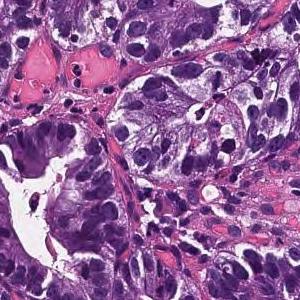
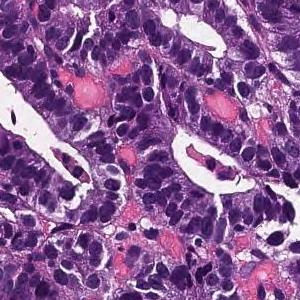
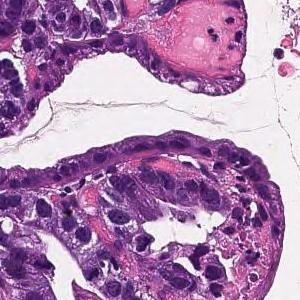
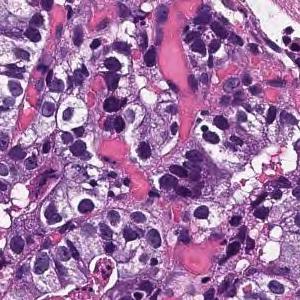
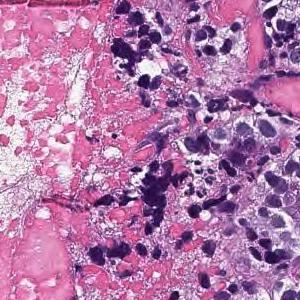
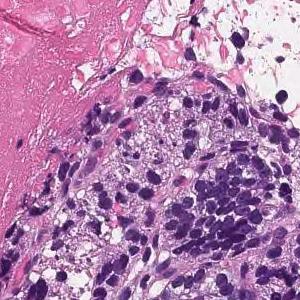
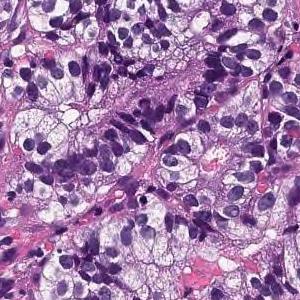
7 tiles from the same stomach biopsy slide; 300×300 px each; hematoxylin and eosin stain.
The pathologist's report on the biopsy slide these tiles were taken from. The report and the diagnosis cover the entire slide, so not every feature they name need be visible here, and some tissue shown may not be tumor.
From the superficial epithelium to the muscularis mucosae, tumor tissue consisting of medium-sized and irregular glandular ducts infiltrating is observed. Well differentiated tubular adenocarcinoma
